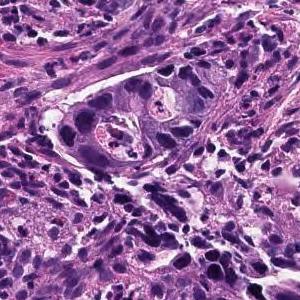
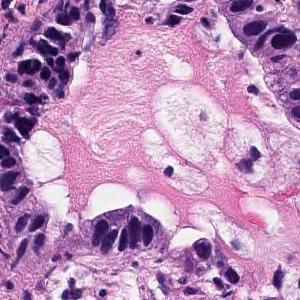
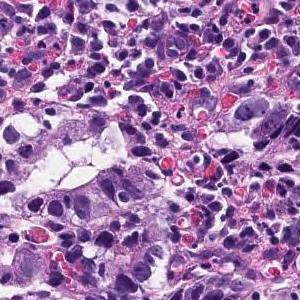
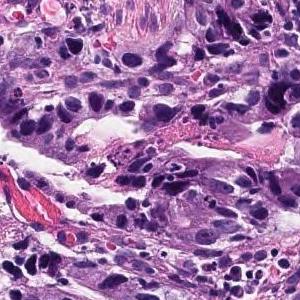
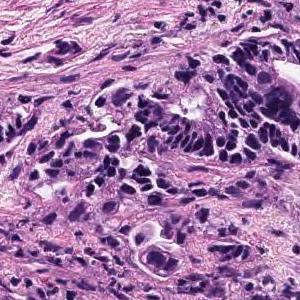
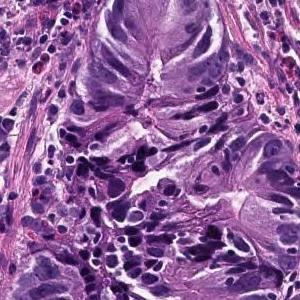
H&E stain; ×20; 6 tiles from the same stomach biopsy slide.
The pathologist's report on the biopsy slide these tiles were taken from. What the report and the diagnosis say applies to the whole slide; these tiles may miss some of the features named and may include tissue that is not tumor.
In the superficial epithelium, tumor tissue that invades by forming medium-sized to small, irregular ducts is observed. Tumor cells are columnar or cuboidal in shape. Moderately differentiated adenocarcinoma.
Classified as moderately differentiated tubular adenocarcinoma.
